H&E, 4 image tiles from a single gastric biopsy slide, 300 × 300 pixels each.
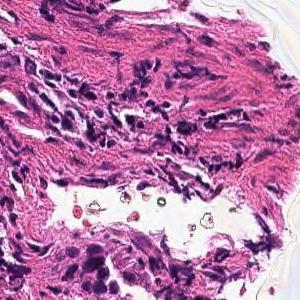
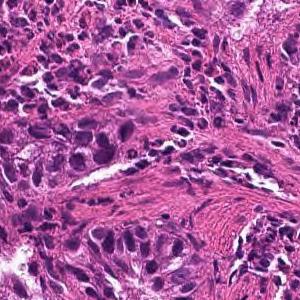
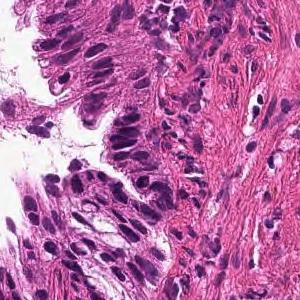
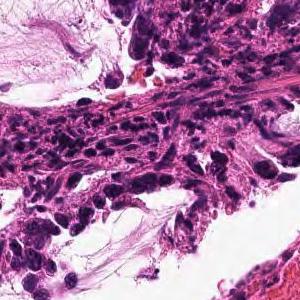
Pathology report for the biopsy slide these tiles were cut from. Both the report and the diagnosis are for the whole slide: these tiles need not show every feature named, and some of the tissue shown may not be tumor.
From the superficial epithelium to the muscularis mucosae, tumor tissue infiltrating by forming medium-sized irregular gland ducts is observed. Well differentiated tubular adenocarcinoma
